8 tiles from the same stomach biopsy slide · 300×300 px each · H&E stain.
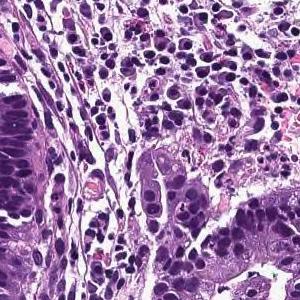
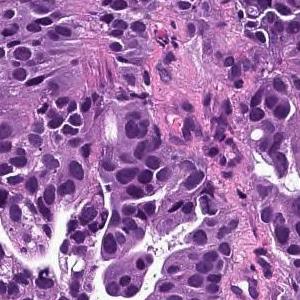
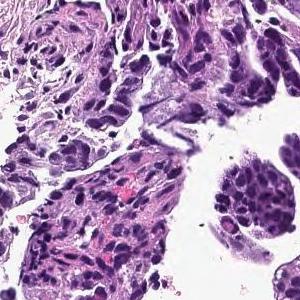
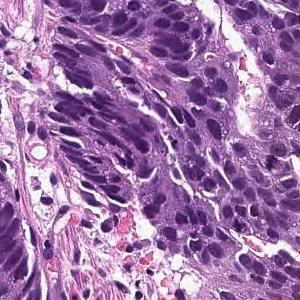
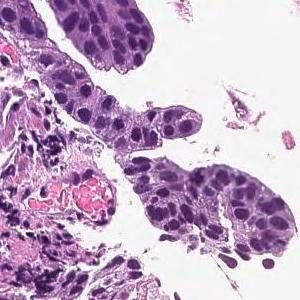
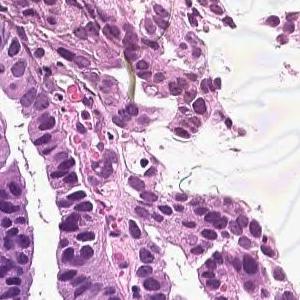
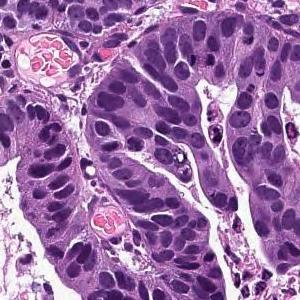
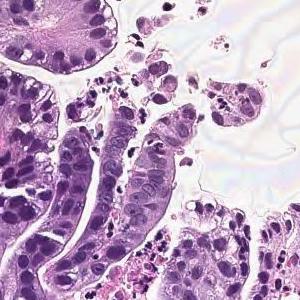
Report on the slide these tiles come from. Both the report and the diagnosis are for the whole slide: these tiles need not show every feature named, and some of the tissue shown may not be tumor.
Tumor cells are large, highly columnar, large club-shaped nuclei, and are associated with chromatin aggregation. Papillary adenocarcinoma.
